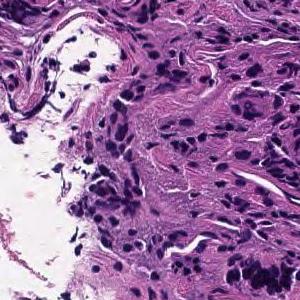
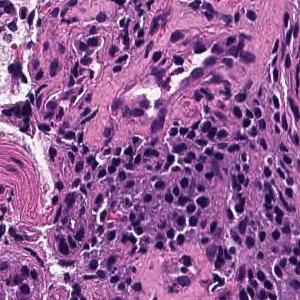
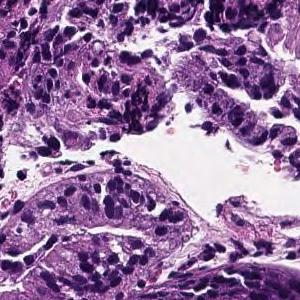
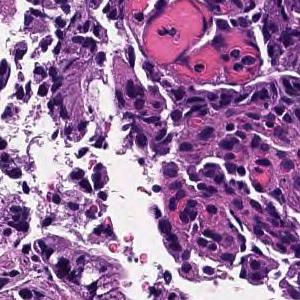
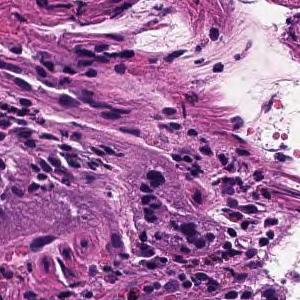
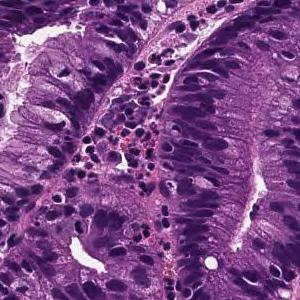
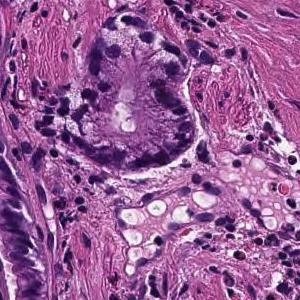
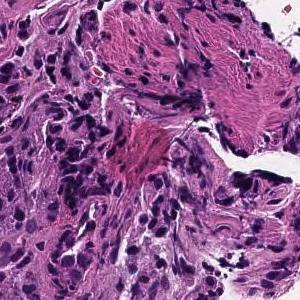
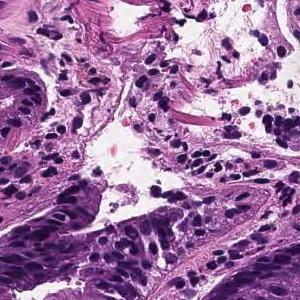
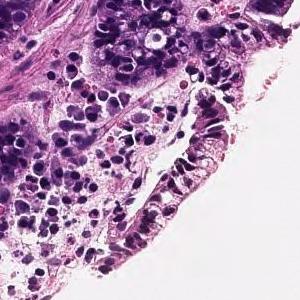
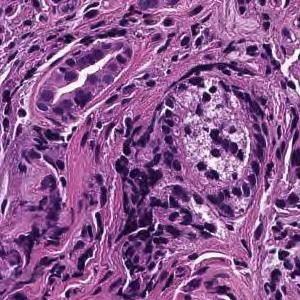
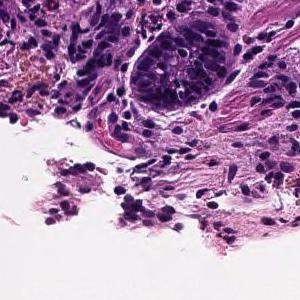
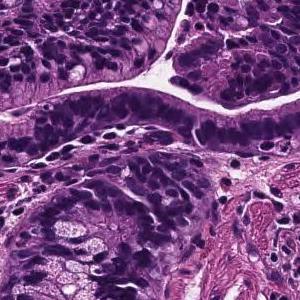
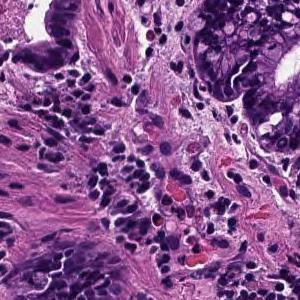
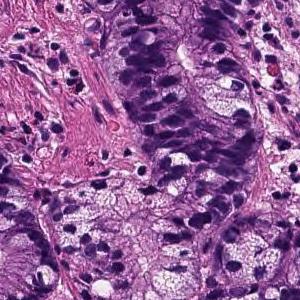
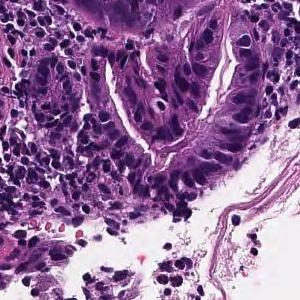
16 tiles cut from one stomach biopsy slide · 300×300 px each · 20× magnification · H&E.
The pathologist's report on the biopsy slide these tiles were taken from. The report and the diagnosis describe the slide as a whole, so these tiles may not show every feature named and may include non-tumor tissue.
From the superficial epithelium to the muscularis mucosae, tumor tissue consisting of medium-sized and irregular glandular ducts infiltrating is observed. Well differentiated tubular adenocarcinoma
